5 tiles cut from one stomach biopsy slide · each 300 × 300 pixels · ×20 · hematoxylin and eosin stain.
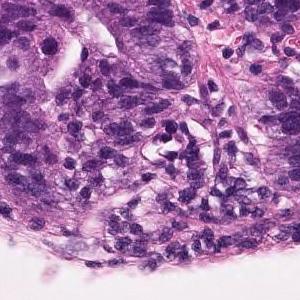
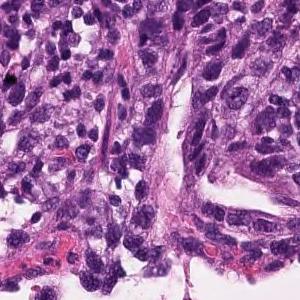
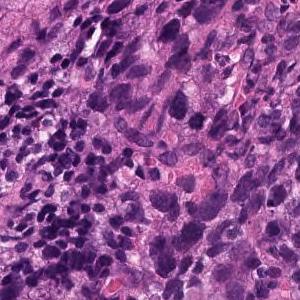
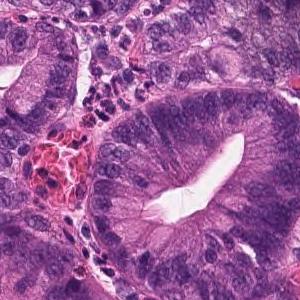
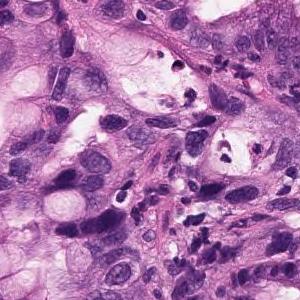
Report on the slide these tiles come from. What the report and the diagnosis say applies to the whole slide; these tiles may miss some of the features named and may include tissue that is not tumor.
In the superficial epithelium, tumor tissue that invades by forming medium-sized to small, irregular ducts is observed. Moderately differentiated adenocarcinoma.
Tumor subtype: moderately differentiated tubular adenocarcinoma.
